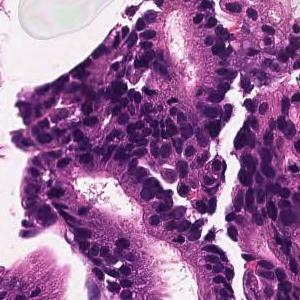
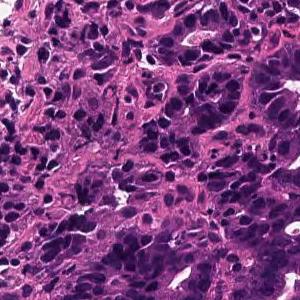
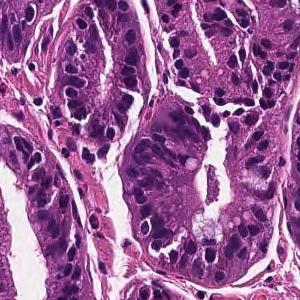
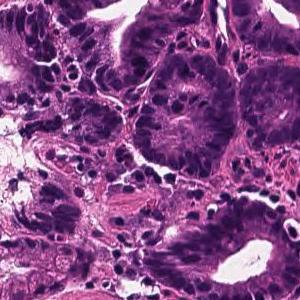
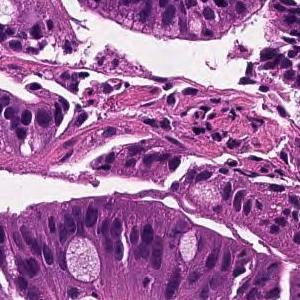
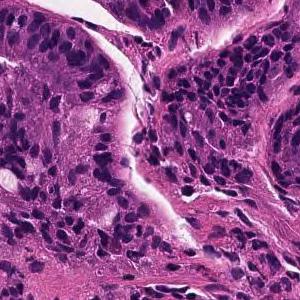
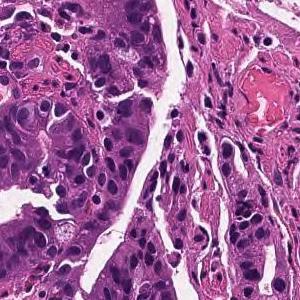
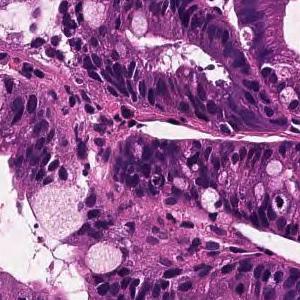
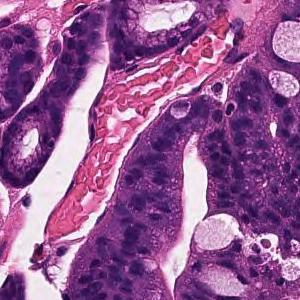
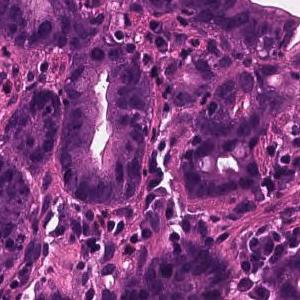
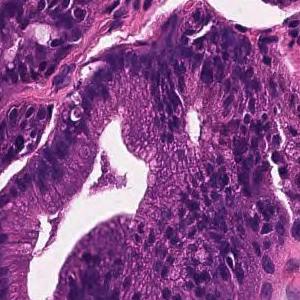
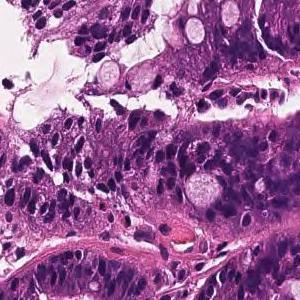
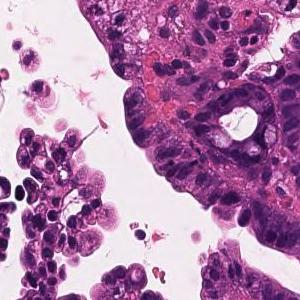
20× magnification; 13 tiles cut from one stomach biopsy slide.
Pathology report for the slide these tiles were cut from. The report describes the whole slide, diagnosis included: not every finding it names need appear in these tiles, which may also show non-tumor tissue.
On the superficial epithelium, tumor tissue that infiltrates by forming medium-sized papillary or small irregular ducts is observed. Papillary adenocarcinoma
